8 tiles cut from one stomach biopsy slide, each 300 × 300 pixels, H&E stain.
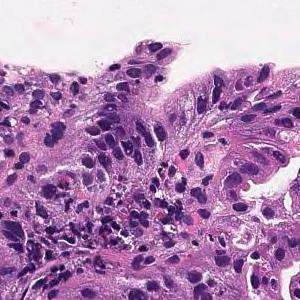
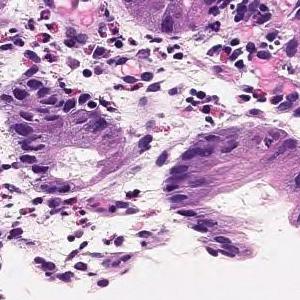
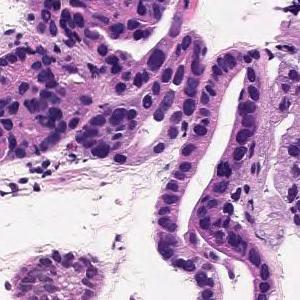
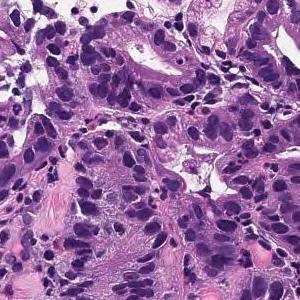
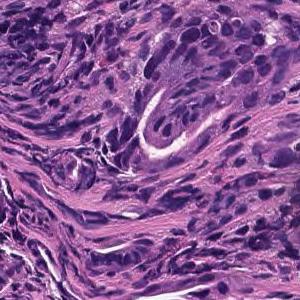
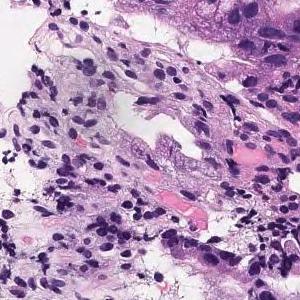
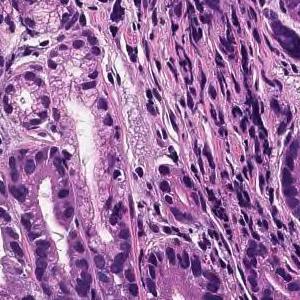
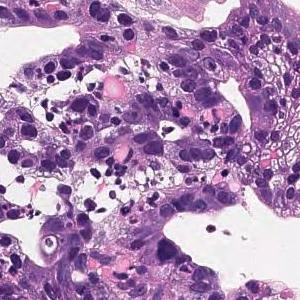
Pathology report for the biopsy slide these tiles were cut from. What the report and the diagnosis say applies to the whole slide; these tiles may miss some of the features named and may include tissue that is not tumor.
On the superficial epithelium, tumor tissue consisting of large, irregular glandular ducts partially fused and infiltrated is observed. Well to moderately differentiated tubular adenocarcinoma (well differentiated tubular adenocarcinoma, moderately differentiated tubular adenocarcinoma)
Tumor subtype: well to moderately differentiated tubular adenocarcinoma.
